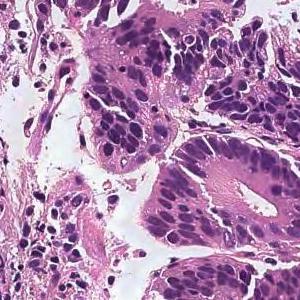
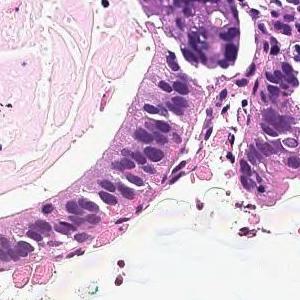
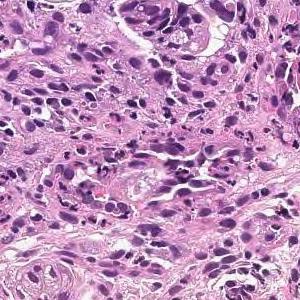
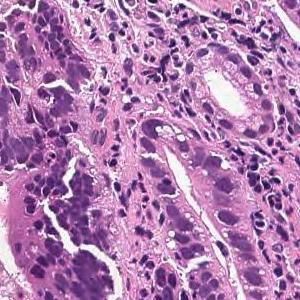
Hematoxylin and eosin stain · scanned at ×20 · 4 image tiles from a single gastric biopsy slide · 300×300 px each.
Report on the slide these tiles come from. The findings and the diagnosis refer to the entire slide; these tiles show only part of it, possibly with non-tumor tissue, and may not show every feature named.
On the superficial epithelium, tumor tissue consisting of large irregular glandular ducts partially fused and infiltrated is observed. Well to moderately differentiated tubular adenocarcinoma (well differentiated tubular adenocarcinoma, moderately differentiated tubular adenocarcinoma)
Subtype: Well to moderately differentiated tubular adenocarcinoma.
